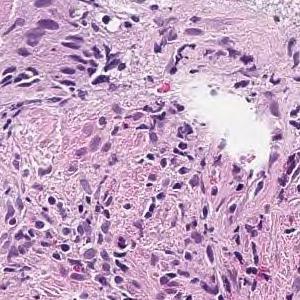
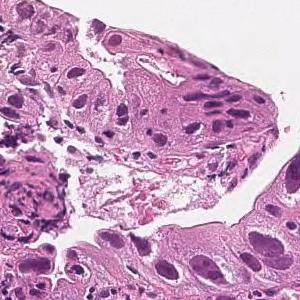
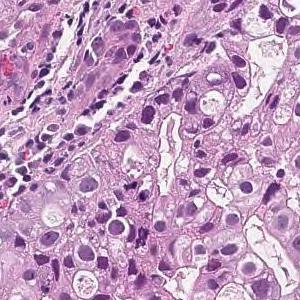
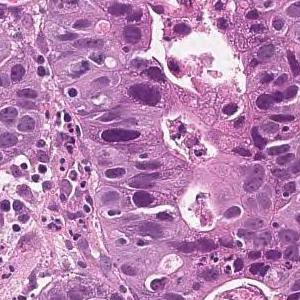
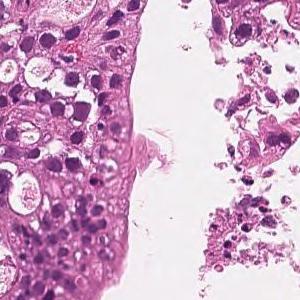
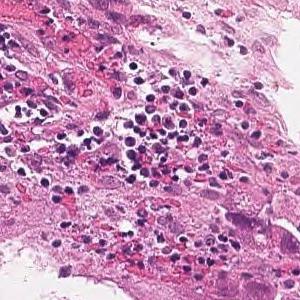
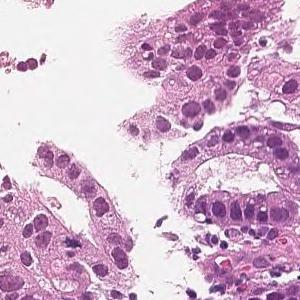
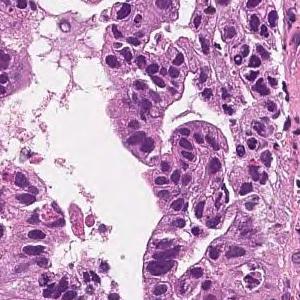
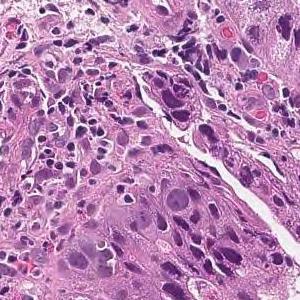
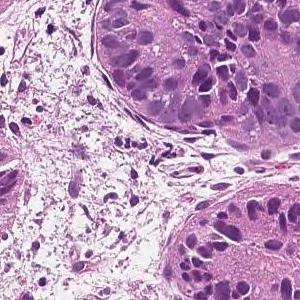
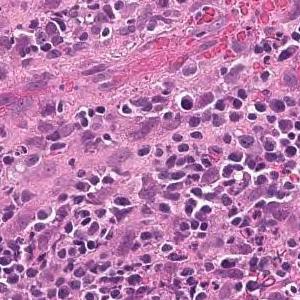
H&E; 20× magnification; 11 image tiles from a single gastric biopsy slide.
Pathology report for the slide these tiles were cut from. Both the report and the diagnosis are for the whole slide: these tiles need not show every feature named, and some of the tissue shown may not be tumor.
In the superficial epithelium, tumor tissue that invades by forming medium-sized to small, irregular ducts is observed. moderately differentiated tubular adenocarcinoma.
